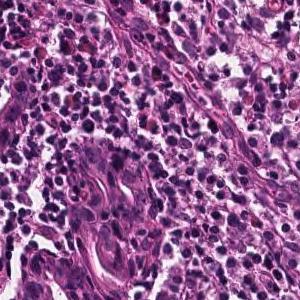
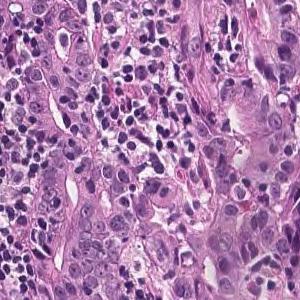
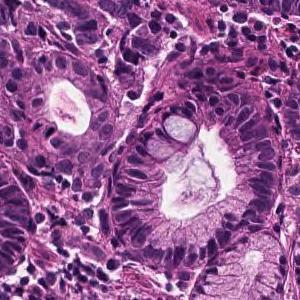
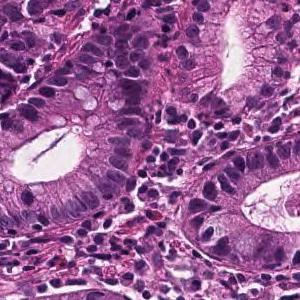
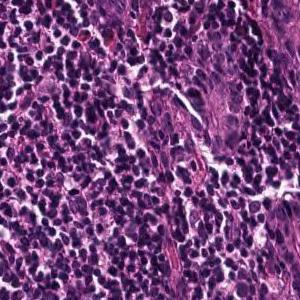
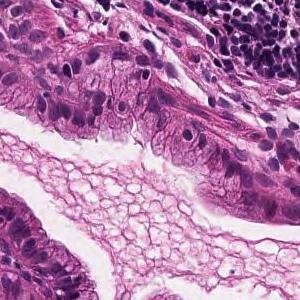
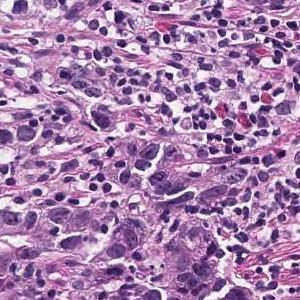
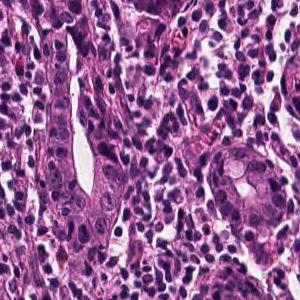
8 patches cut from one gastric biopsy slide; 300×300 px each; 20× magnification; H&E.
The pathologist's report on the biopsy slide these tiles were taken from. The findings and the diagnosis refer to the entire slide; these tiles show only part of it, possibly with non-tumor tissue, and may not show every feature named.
Tumor tissue consisting of medium-sized, cord-like or irregular glandular infiltration is observed in the superficial epithelium. Poorly differentiated adenocarcinoma, non-solid type or moderately differentiated tubular adenocarcinoma
Histological subtype: Moderately to poorly differentiated adenocarcinoma.
The term "non-solid type" comes from the Japanese Classification of Gastric Carcinoma.
